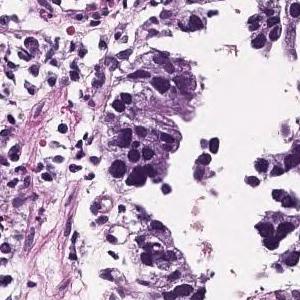
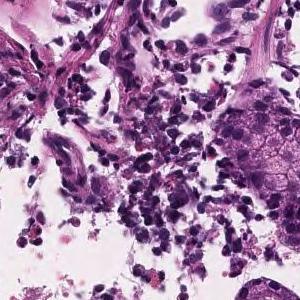
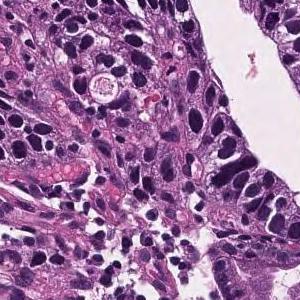
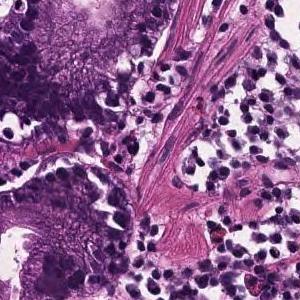
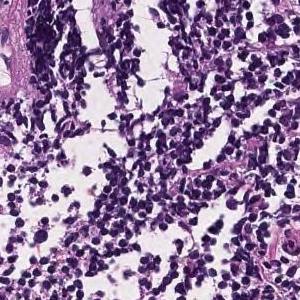
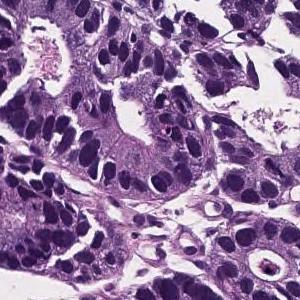
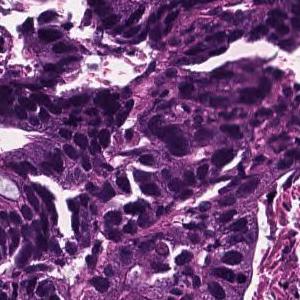
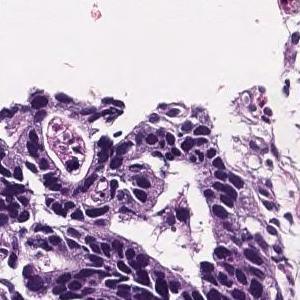
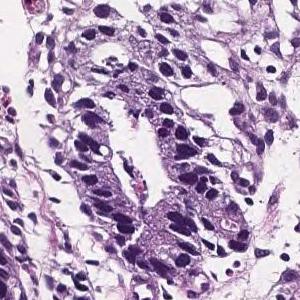
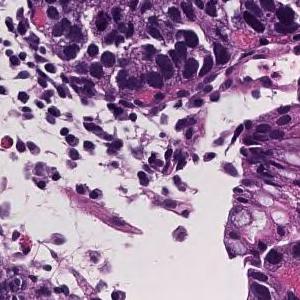
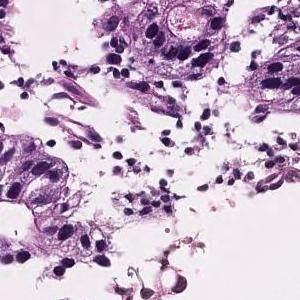
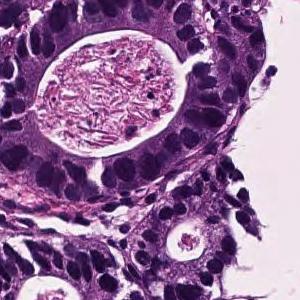
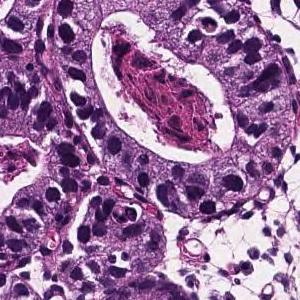
13 tiles cut from one stomach biopsy slide, 300×300 px each.
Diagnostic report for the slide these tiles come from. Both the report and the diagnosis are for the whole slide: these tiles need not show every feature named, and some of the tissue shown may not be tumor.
In the superficial epithelium, tumor tissue that invades by forming medium-sized to small, irregular ducts is observed. Well differentiated tubular adenocarcinoma.
